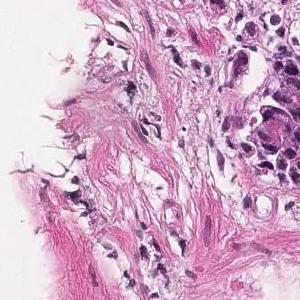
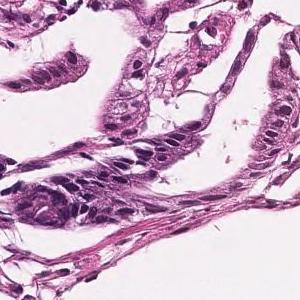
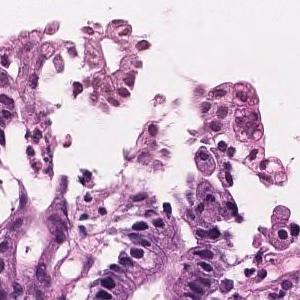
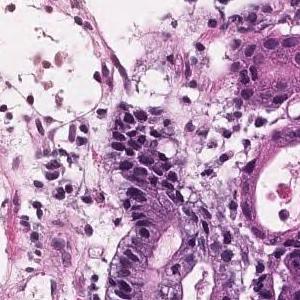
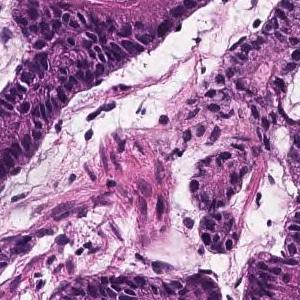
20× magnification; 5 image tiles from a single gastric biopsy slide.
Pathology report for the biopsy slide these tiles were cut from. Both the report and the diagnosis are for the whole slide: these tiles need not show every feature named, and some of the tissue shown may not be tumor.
Tumor tissue with atypical epithelium showing irregular ductal or sieving ductal structure and proliferating is observed. Well to moderately differentiated tubular adenocarcinoma (well differentiated tubular adenocarcinoma-moderately differentiated tubular adenocarcinoma)
Histological subtype: Well to moderately differentiated tubular adenocarcinoma.
